H&E · 20× magnification · 6 tiles from the same stomach biopsy slide · 300×300 px each.
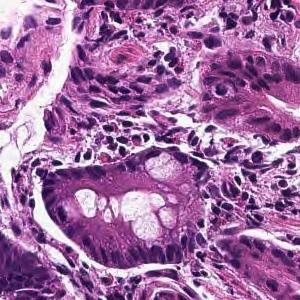
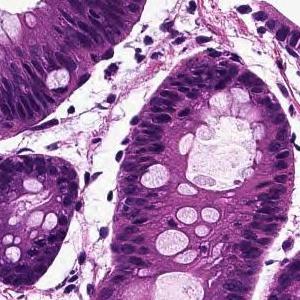
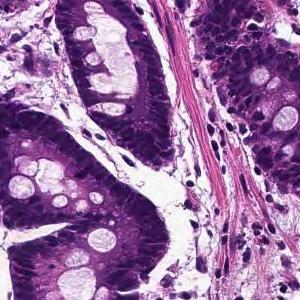
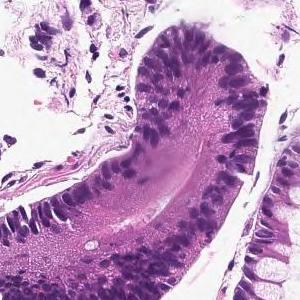
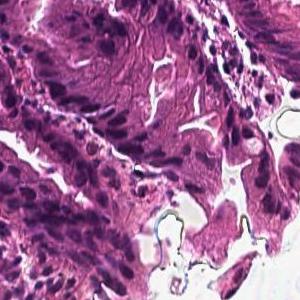
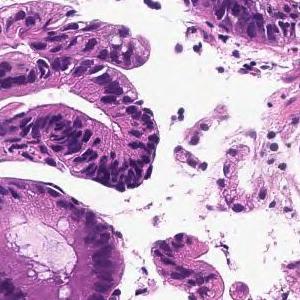
Report on the slide these tiles come from. The report and the diagnosis cover the entire slide, so not every feature they name need be visible here, and some tissue shown may not be tumor.
From the superficial epithelium to the muscularis mucosae, tumor tissue consisting of medium-sized and irregular glandular ducts infiltrating is observed. Well differentiated tubular adenocarcinoma
